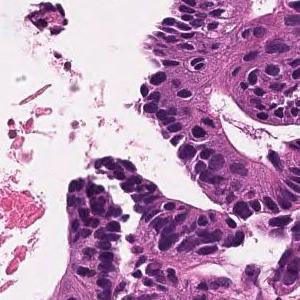
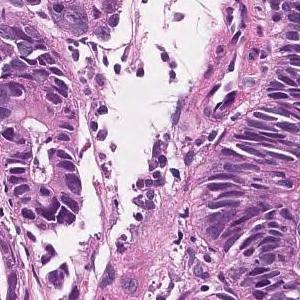
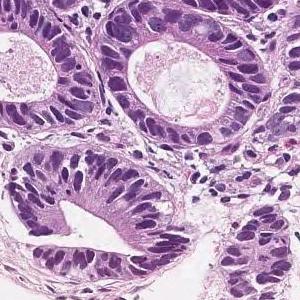
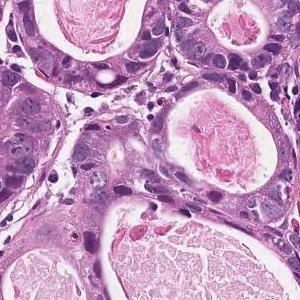
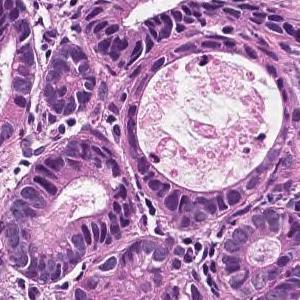
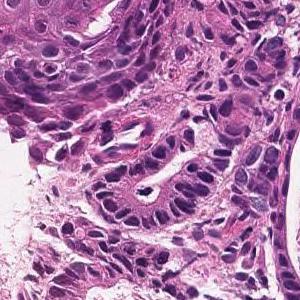
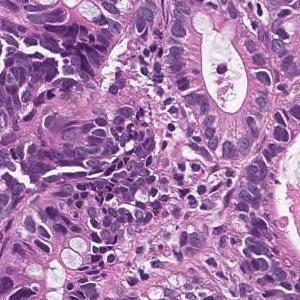
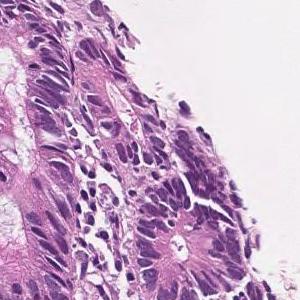
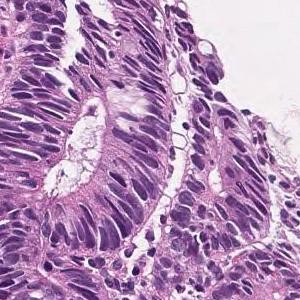
Hematoxylin and eosin stain; 9 tiles cut from one stomach biopsy slide; each 300 × 300 pixels.
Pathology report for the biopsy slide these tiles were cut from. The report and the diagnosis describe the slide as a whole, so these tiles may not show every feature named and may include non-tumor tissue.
In the superficial epithelium, tumor tissue that invades by forming medium-sized to small, irregular ducts is observed. Well differentiated tubular adenocarcinoma.
